16 patches cut from one gastric biopsy slide, 300 × 300 pixels each, ×20.
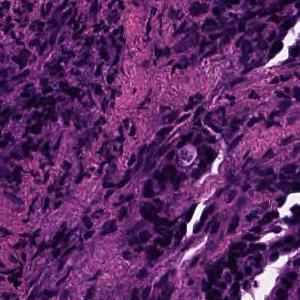
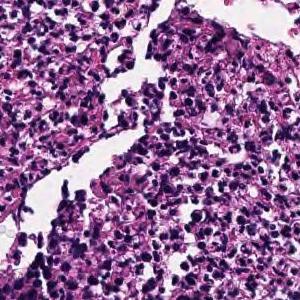
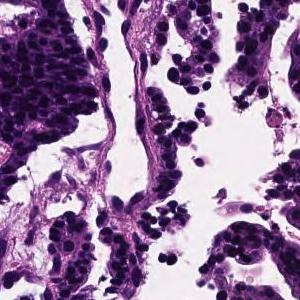
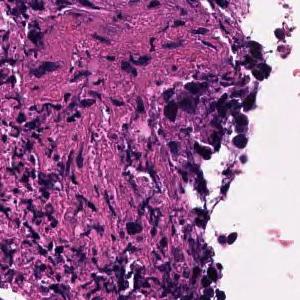
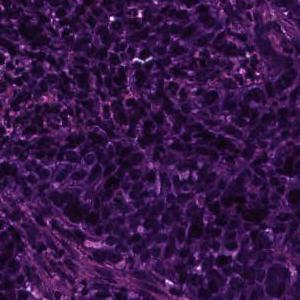
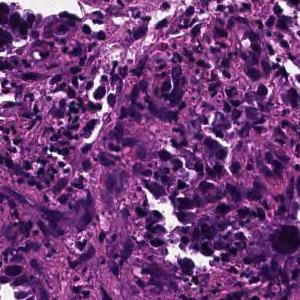
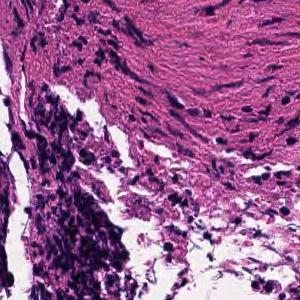
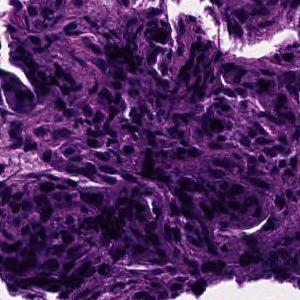
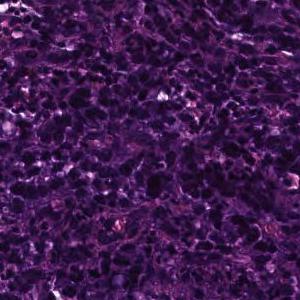
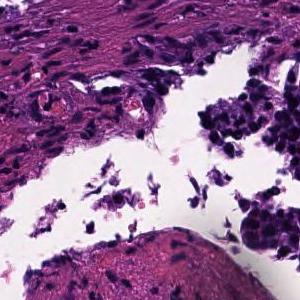
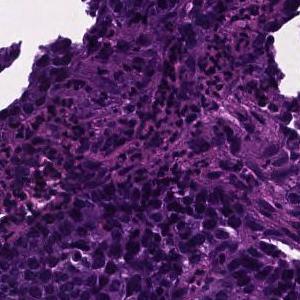
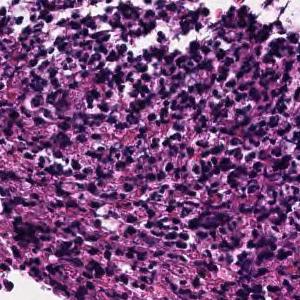
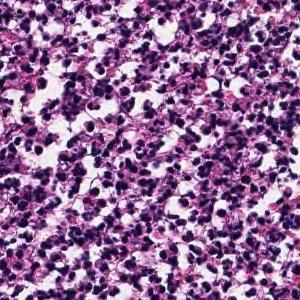
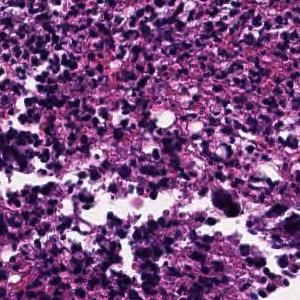
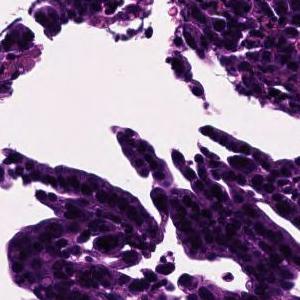
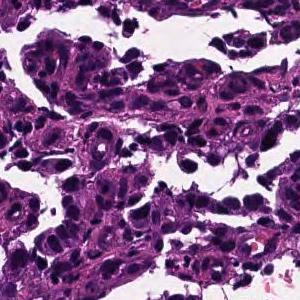
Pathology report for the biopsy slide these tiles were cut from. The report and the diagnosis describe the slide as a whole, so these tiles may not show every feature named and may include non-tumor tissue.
In the superficial epithelium, tumor tissue that invades by forming medium-sized to small, irregular ducts is observed. moderately differentiated tubular adenocarcinoma.
